×20; H&E stain; 6 tiles cut from one stomach biopsy slide; 300 × 300 pixels each.
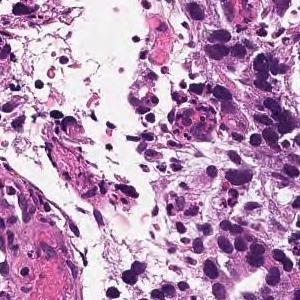
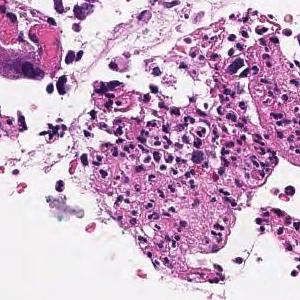
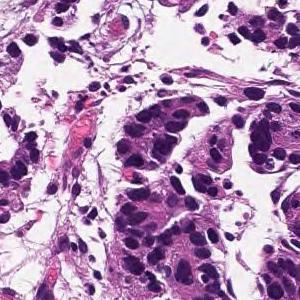
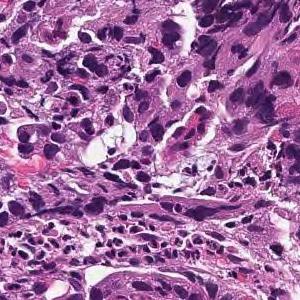
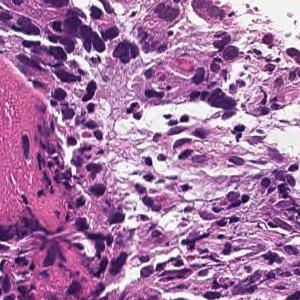
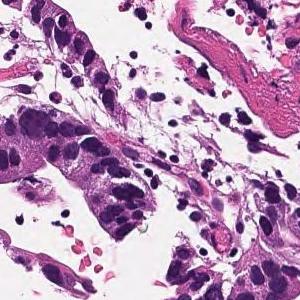
Pathology report for the biopsy slide these tiles were cut from. The report describes the whole slide, diagnosis included: not every finding it names need appear in these tiles, which may also show non-tumor tissue.
In the superficial epithelium, tumor tissue that invades by forming medium-sized to small, irregular ducts is observed. moderately differentiated tubular adenocarcinoma.
